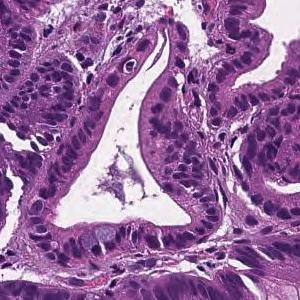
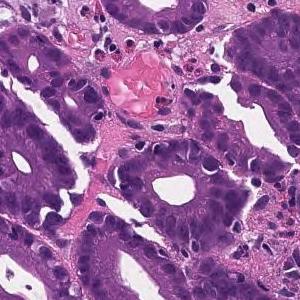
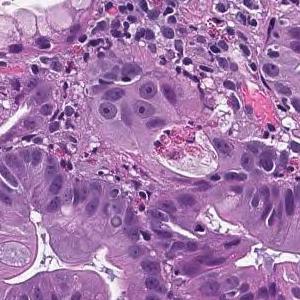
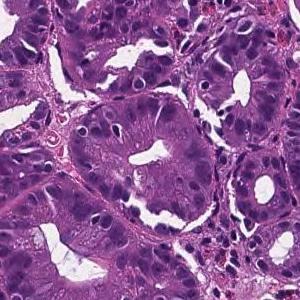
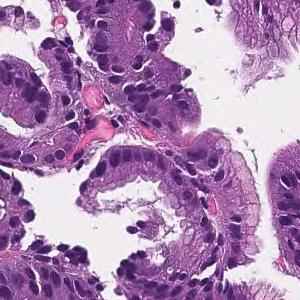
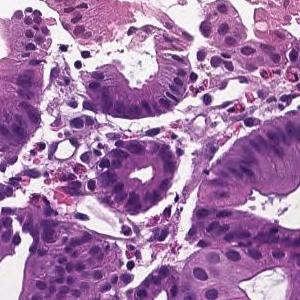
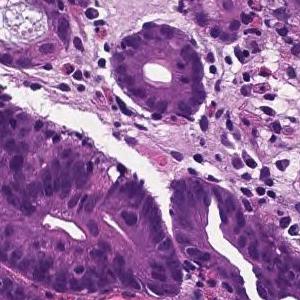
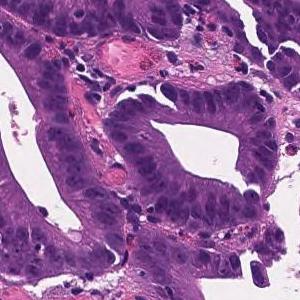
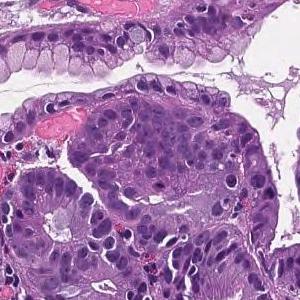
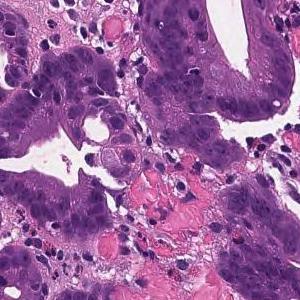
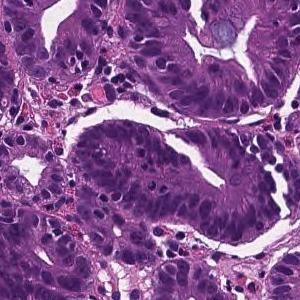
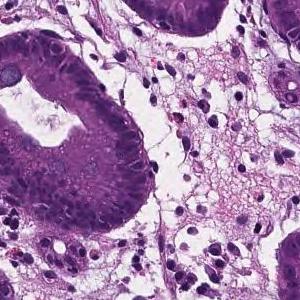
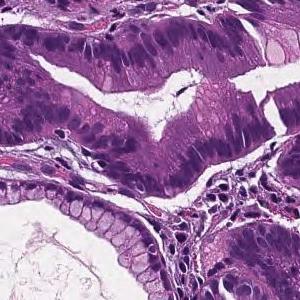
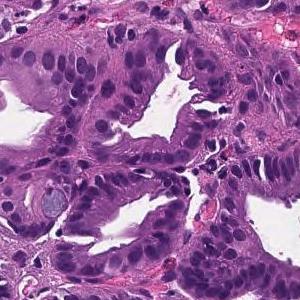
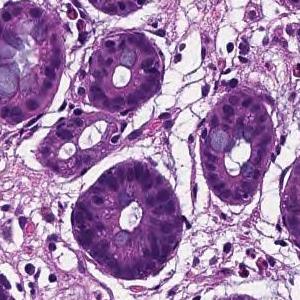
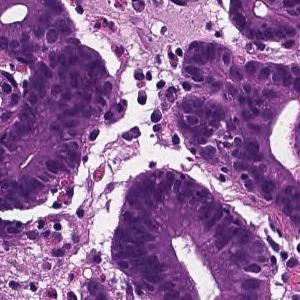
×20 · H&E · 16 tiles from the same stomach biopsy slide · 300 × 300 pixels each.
The pathologist's report on the biopsy slide these tiles were taken from. The report and the diagnosis describe the slide as a whole, so these tiles may not show every feature named and may include non-tumor tissue.
From the superficial epithelium to the muscularis mucosae, tumor tissue consisting of medium-sized and irregular glandular ducts infiltrating is observed. Well differentiated tubular adenocarcinoma
